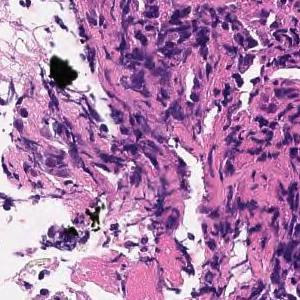
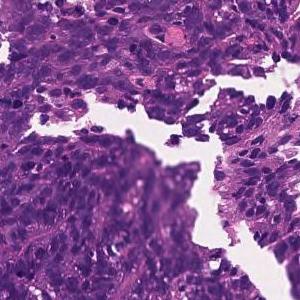
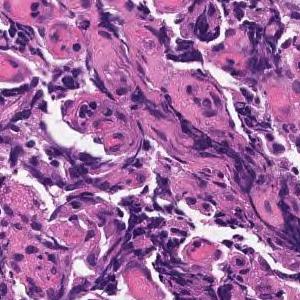
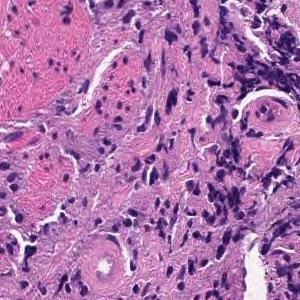
4 tiles from the same stomach biopsy slide · each 300 × 300 pixels · H&E · ×20.
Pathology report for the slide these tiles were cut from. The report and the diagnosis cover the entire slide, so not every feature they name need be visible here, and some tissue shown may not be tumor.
Tumor tissue consisting of medium-sized, cord-like or irregular glandular infiltration is observed in the superficial epithelium. Poorly differentiated adenocarcinoma, non-solid type or moderately differentiated tubular adenocarcinoma
Subtype: Moderately to poorly differentiated adenocarcinoma.
The non-solid type named here is a Japanese Classification of Gastric Carcinoma category.
